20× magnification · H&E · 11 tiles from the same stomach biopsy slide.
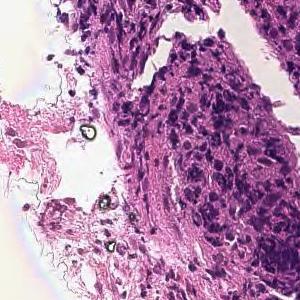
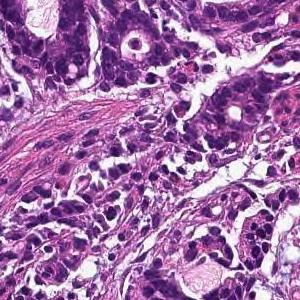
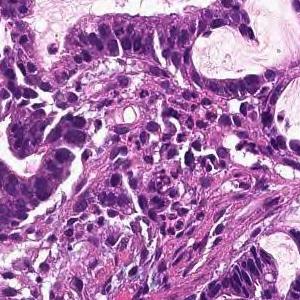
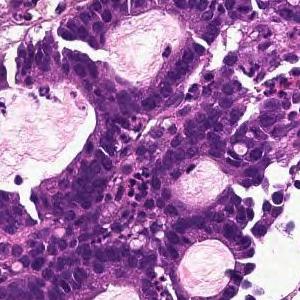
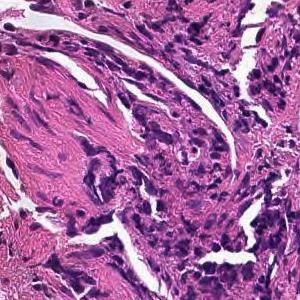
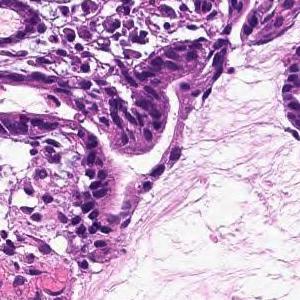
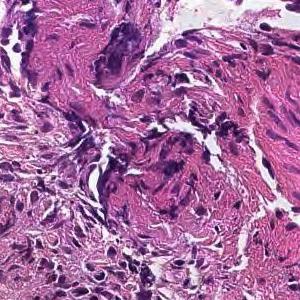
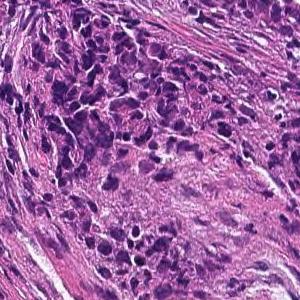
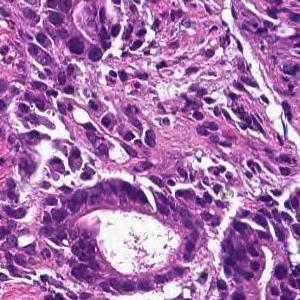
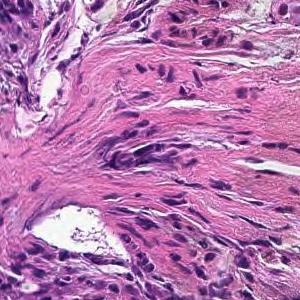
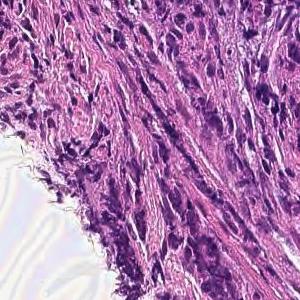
The pathologist's report on the biopsy slide these tiles were taken from. The report and the diagnosis cover the entire slide, so not every feature they name need be visible here, and some tissue shown may not be tumor.
In the superficial epithelium, tumor tissue that invades by forming medium-sized to small, irregular ducts is observed. moderately differentiated tubular adenocarcinoma.
